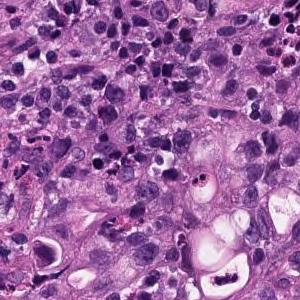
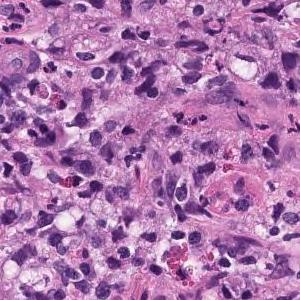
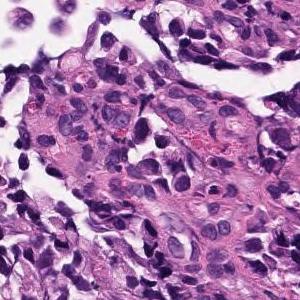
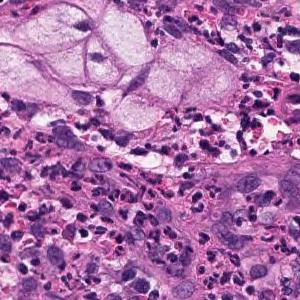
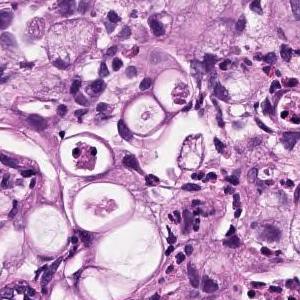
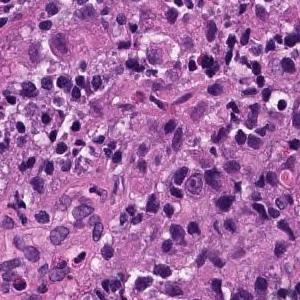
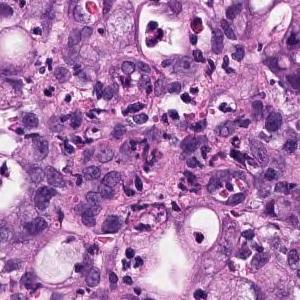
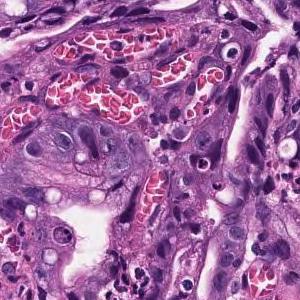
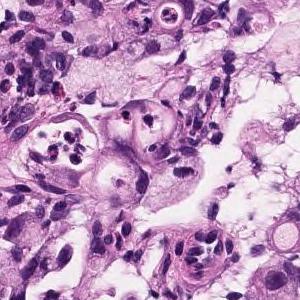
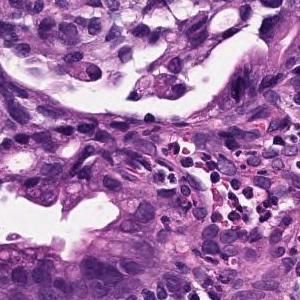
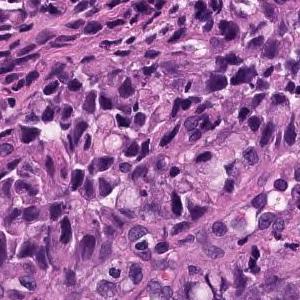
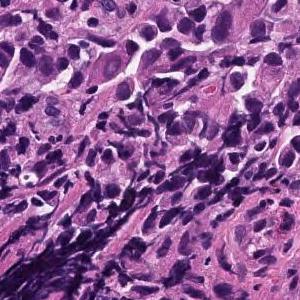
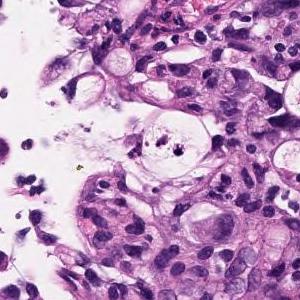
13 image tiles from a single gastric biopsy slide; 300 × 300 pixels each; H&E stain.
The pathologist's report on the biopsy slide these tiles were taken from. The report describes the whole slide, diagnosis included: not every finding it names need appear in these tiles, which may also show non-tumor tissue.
Atypical epithelium forms irregularly fused gland ducts and proliferates. Poorly differentiated adenocarcinoma.
Tumor subtype: poorly differentiated adenocarcinoma, non-solid type.
The non-solid type named here is a Japanese Classification of Gastric Carcinoma category.
